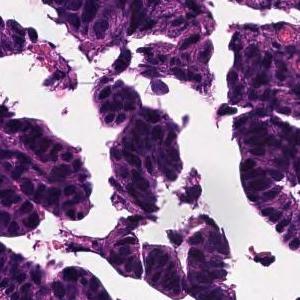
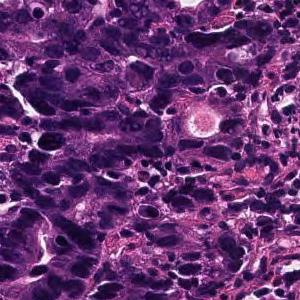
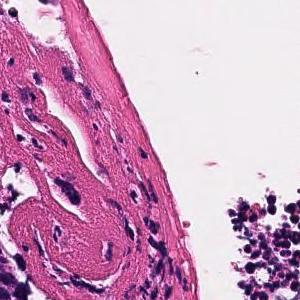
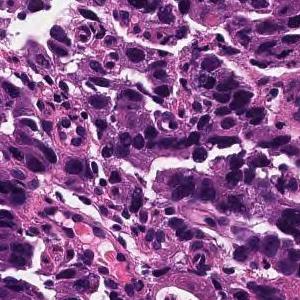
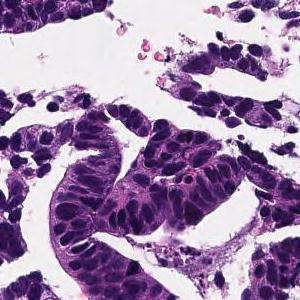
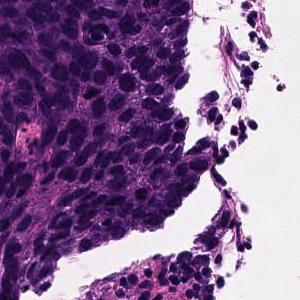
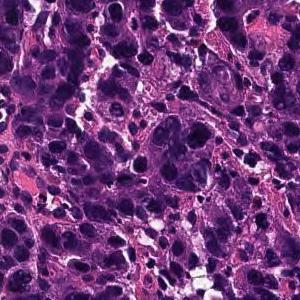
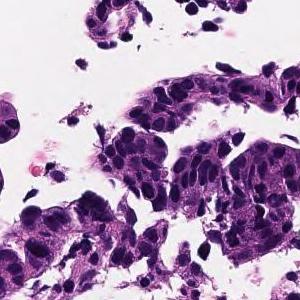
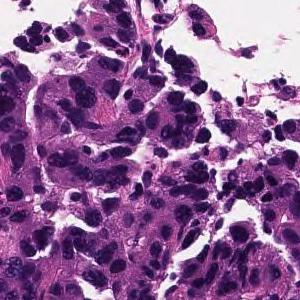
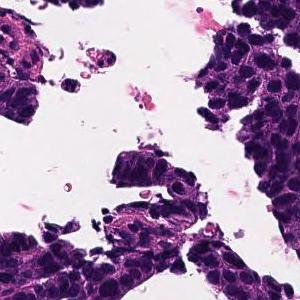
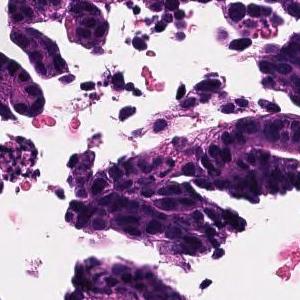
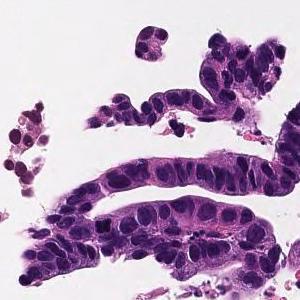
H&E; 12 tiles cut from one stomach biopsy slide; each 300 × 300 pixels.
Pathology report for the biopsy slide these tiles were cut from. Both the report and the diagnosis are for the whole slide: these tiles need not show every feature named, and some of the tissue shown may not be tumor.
In the superficial epithelium, tumor tissue that invades by forming medium-sized to small, irregular ducts is observed. moderately differentiated tubular adenocarcinoma.
